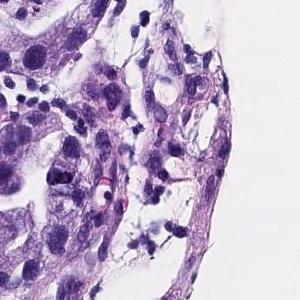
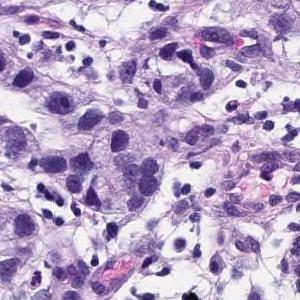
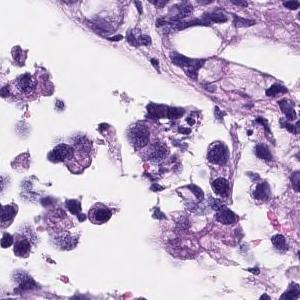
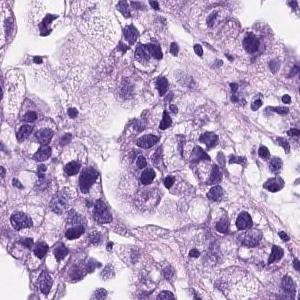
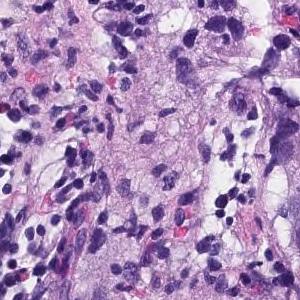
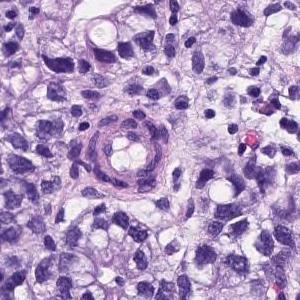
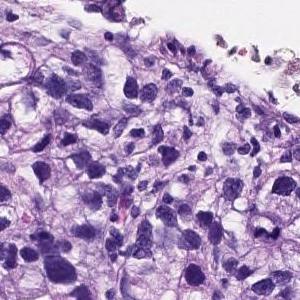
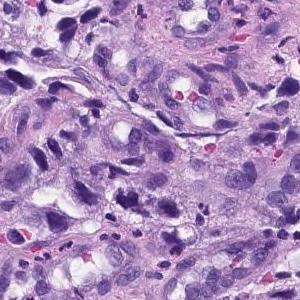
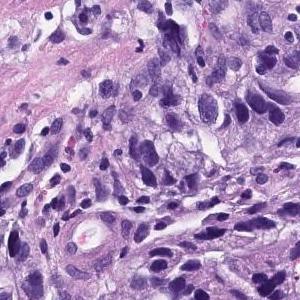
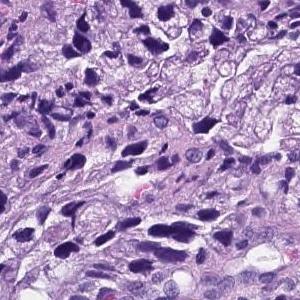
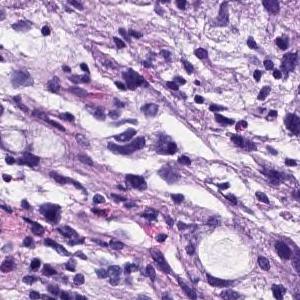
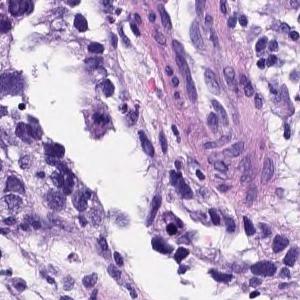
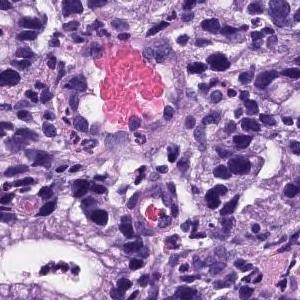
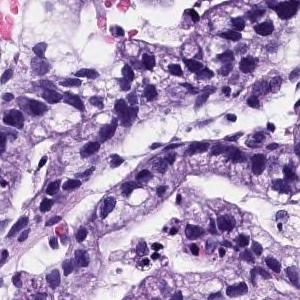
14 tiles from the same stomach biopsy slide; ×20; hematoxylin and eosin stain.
Diagnostic report for the slide these tiles come from. The report describes the whole slide, diagnosis included: not every finding it names need appear in these tiles, which may also show non-tumor tissue.
Medium to small, irregular glandular ducts are formed in the superficial epithelium, and in some cases, the glandular ducts are fused to show solid alveolar lesions and infiltrating tumor tissue is observed. Poorly differentiated adenocarcinoma, Moderately differentiated adenocarcinoma.
The dataset labels this slide moderately differentiated tubular adenocarcinoma.
